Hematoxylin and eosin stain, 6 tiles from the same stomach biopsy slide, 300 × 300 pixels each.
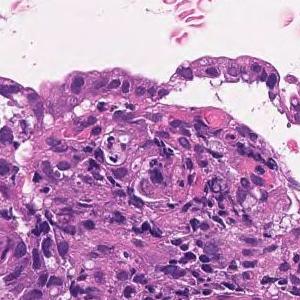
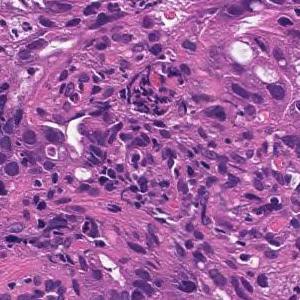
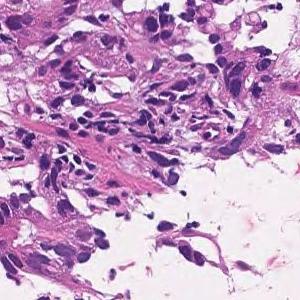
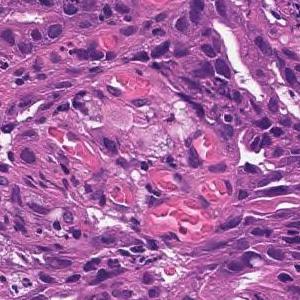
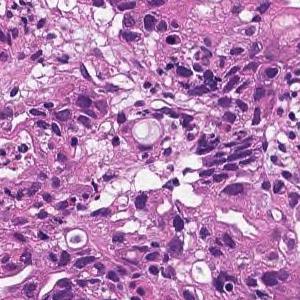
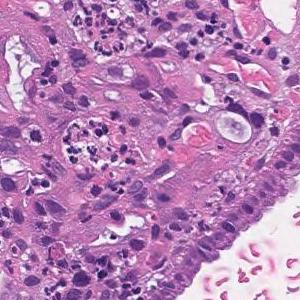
Report on the slide these tiles come from. The findings and the diagnosis refer to the entire slide; these tiles show only part of it, possibly with non-tumor tissue, and may not show every feature named.
In the superficial epithelium, tumor tissue that invades by forming medium-sized to small, irregular ducts is observed. moderately differentiated tubular adenocarcinoma.
